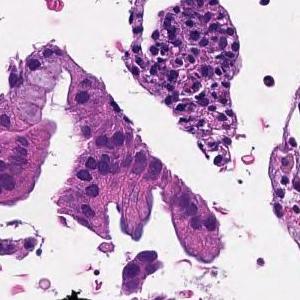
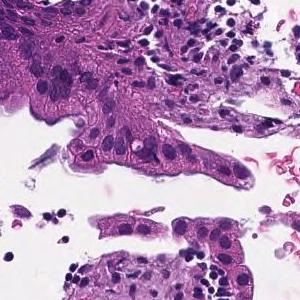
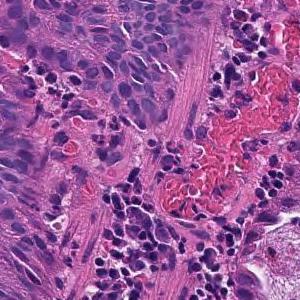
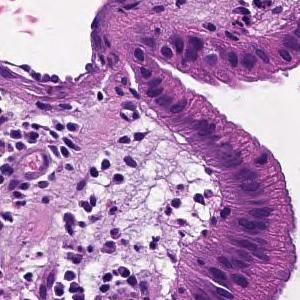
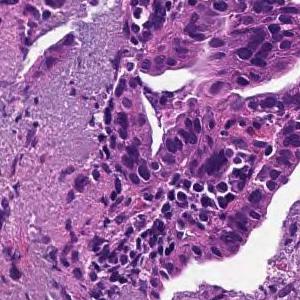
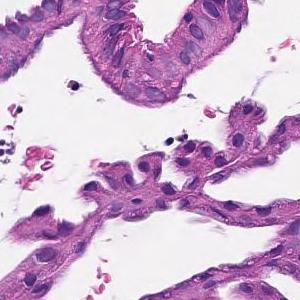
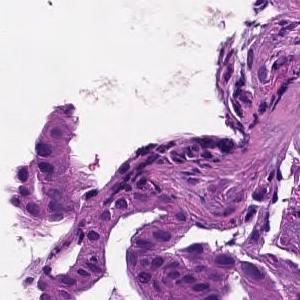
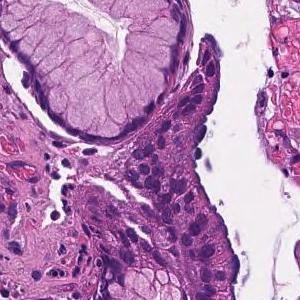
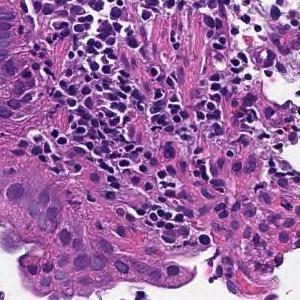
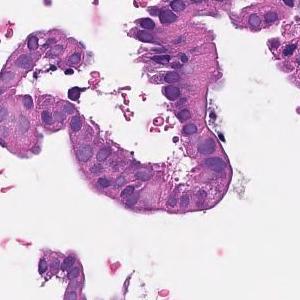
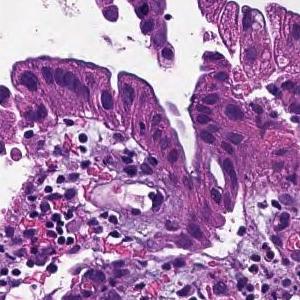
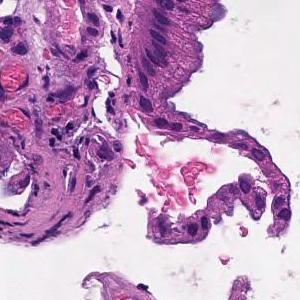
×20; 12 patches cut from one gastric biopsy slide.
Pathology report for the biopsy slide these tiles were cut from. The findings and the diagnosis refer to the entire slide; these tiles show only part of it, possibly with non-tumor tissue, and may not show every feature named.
On the superficial epithelium, tumor tissue that infiltrates by forming medium-sized papillary or small irregular ducts is observed. Papillary adenocarcinoma
